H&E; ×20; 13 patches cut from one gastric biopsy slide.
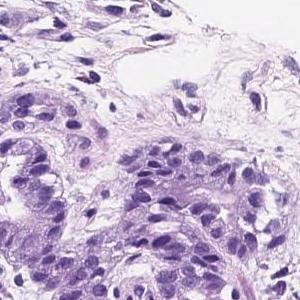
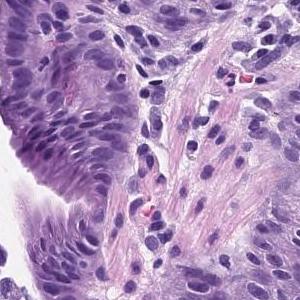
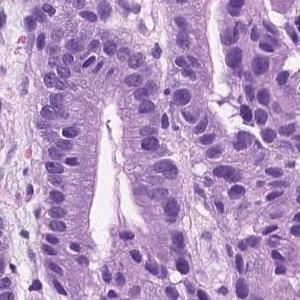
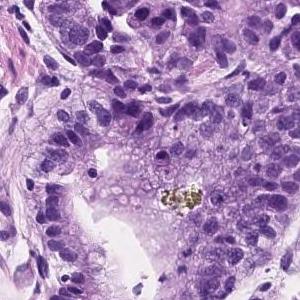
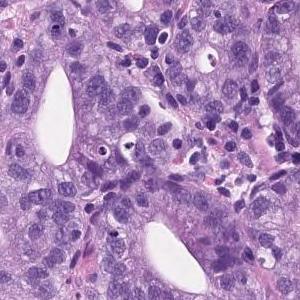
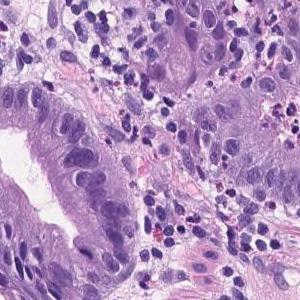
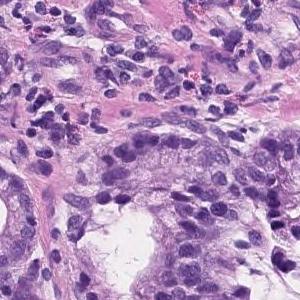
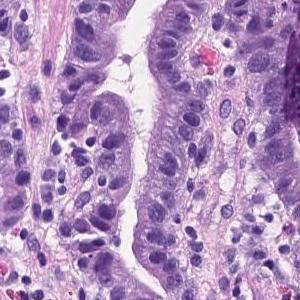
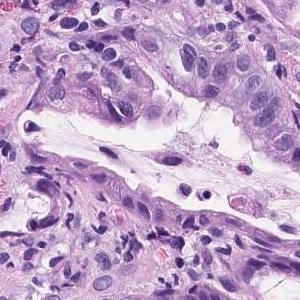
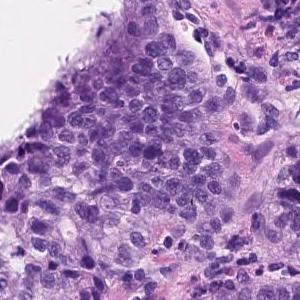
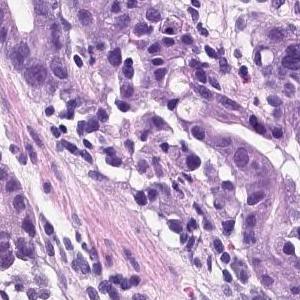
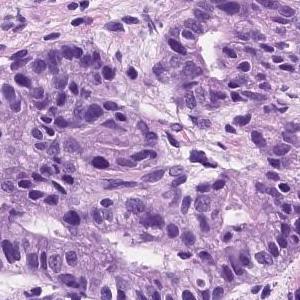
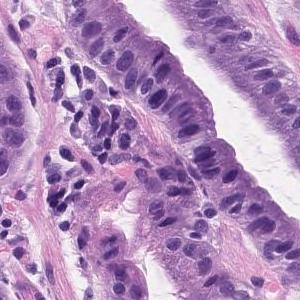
Pathology report for the slide these tiles were cut from. Both the report and the diagnosis are for the whole slide: these tiles need not show every feature named, and some of the tissue shown may not be tumor.
Tumor tissue consisting of medium-sized and irregular ducts is observed infiltrating in the superficial epithelium. Tumor cells are highly columnar, with nuclei aligned basolaterally and polarized. Well differentiated tubular adenocarcinoma.
